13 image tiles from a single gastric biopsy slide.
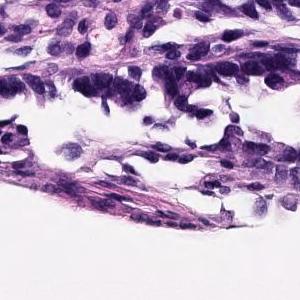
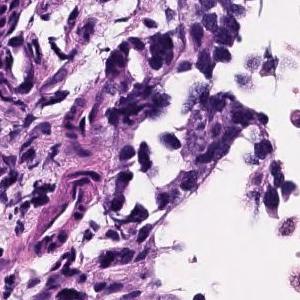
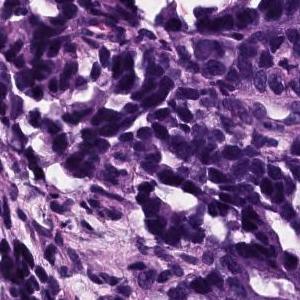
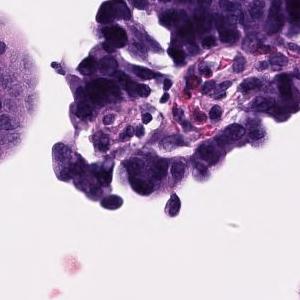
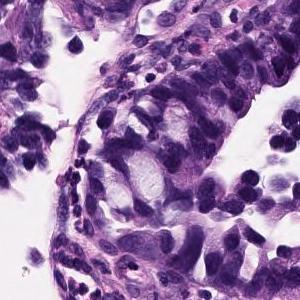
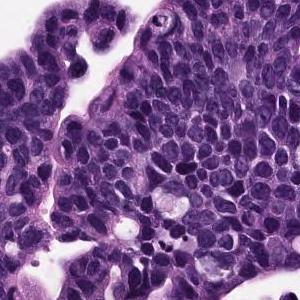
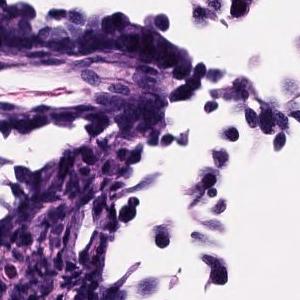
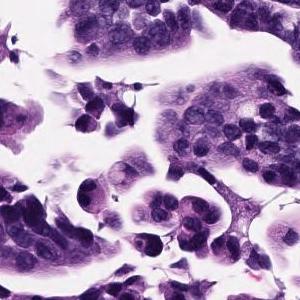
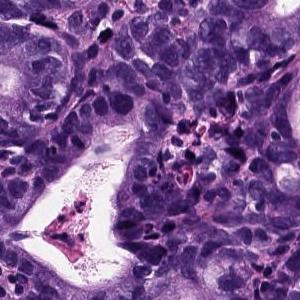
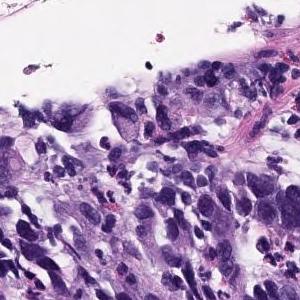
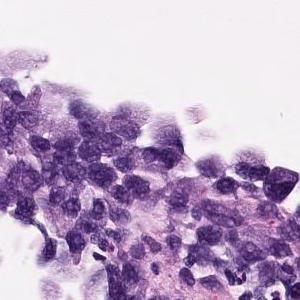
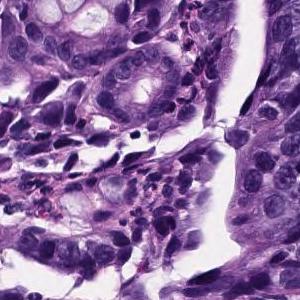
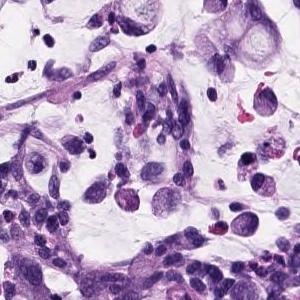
Report on the slide these tiles come from. The findings and the diagnosis refer to the entire slide; these tiles show only part of it, possibly with non-tumor tissue, and may not show every feature named.
Atypical epithelium proliferating showing villus construction and irregular gland duct construction is observed. Moderately differentiated tubular adenocarcinoma.
